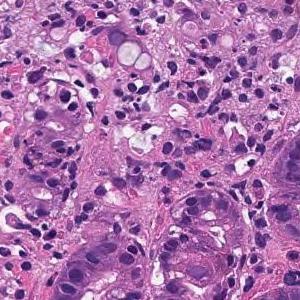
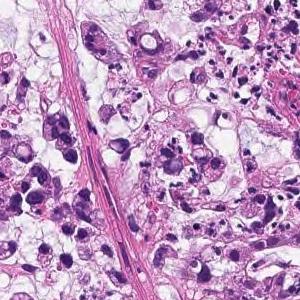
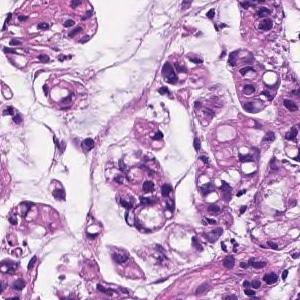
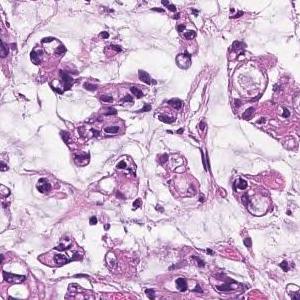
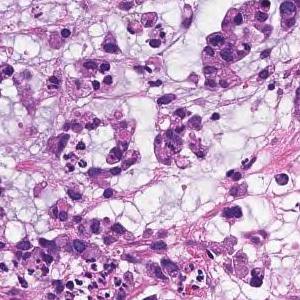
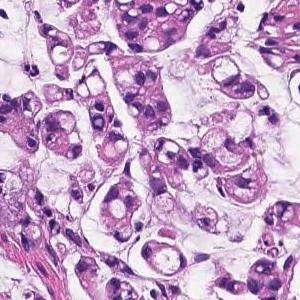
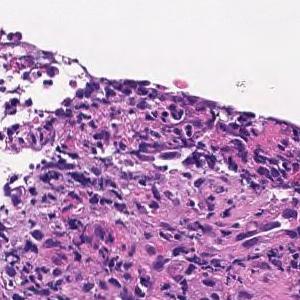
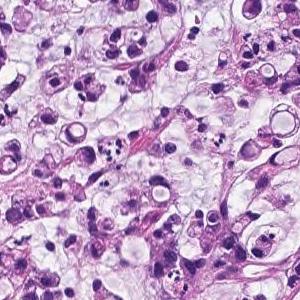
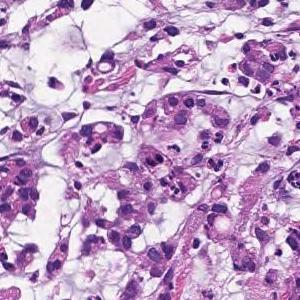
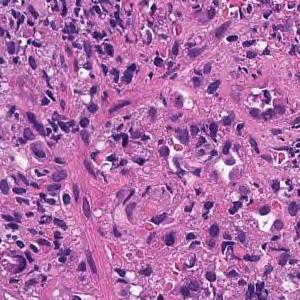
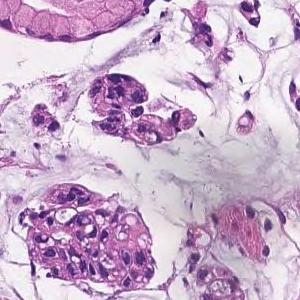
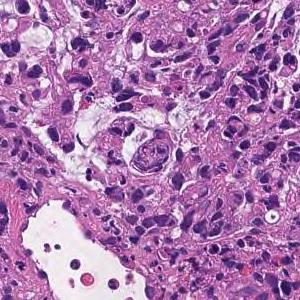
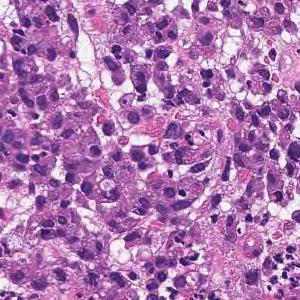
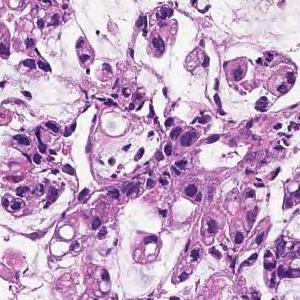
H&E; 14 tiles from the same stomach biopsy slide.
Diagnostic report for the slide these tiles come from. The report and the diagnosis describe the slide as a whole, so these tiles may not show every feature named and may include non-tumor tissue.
Tumor tissue consisting of cord-like or small, irregular glandular ducts fused and infiltrated is observed in the superficial epithelium. Poorly differentiated adenocarcinoma, non-solid type
The term "non-solid type" comes from the Japanese Classification of Gastric Carcinoma.
